8 tiles cut from one stomach biopsy slide; H&E.
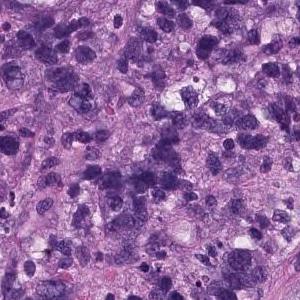
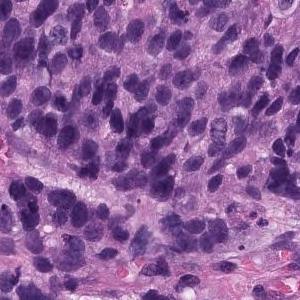
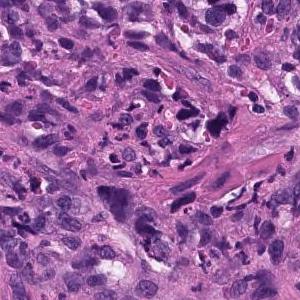
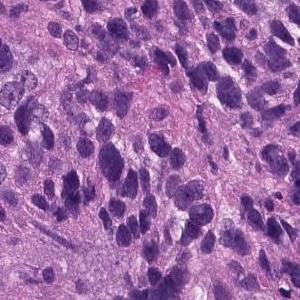
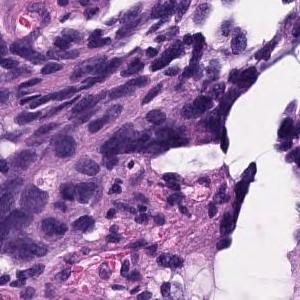
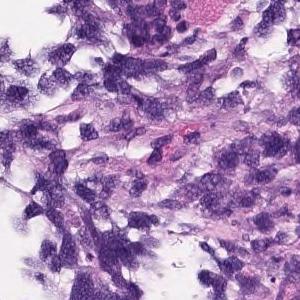
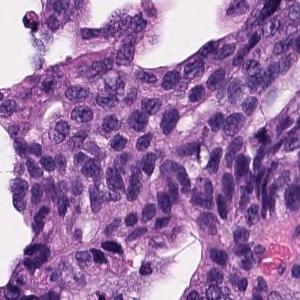
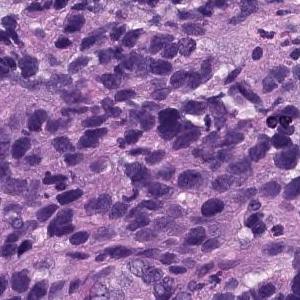
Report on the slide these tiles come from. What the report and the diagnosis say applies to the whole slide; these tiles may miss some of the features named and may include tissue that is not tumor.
Atypical l cells with atypical nuclei under the mucosa growing in isolation and scattered. Poorly differentiated adenocarcinoma (poorly differentiated adenocarcinoma, non-solid type)
Subtype: Poorly differentiated adenocarcinoma, non-solid type.
"Non-solid type" is a category of the Japanese Classification of Gastric Carcinoma.
